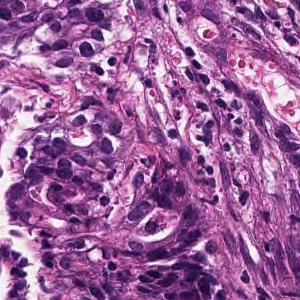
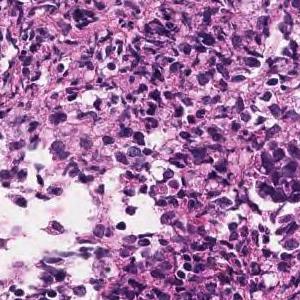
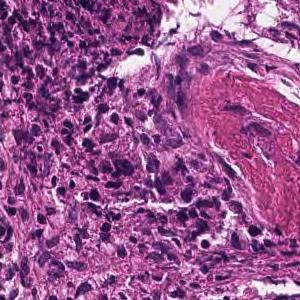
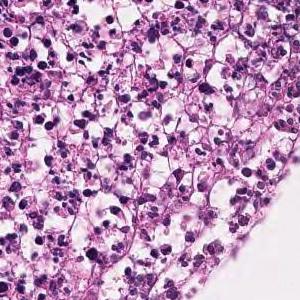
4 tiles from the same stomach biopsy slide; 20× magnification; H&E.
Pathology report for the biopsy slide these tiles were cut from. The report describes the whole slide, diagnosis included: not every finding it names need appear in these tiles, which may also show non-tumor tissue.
In the superficial epithelium, medium to small, irregular gland ducts are formed, and in some cases, the gland ducts are fused to show solid alveolar lesions and infiltrating tumor tissue is observed. Moderately to poorly differentiated adenocarcinoma.
